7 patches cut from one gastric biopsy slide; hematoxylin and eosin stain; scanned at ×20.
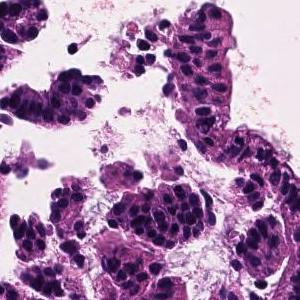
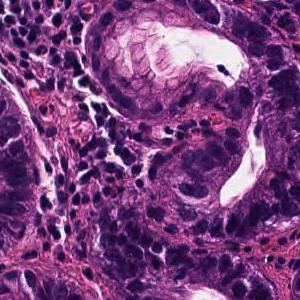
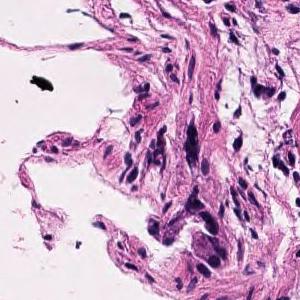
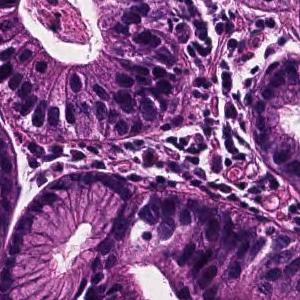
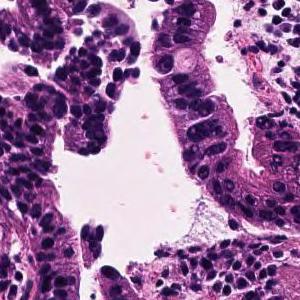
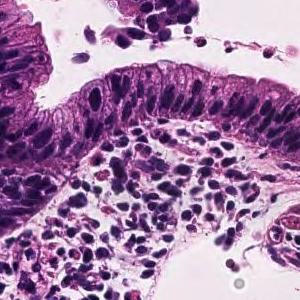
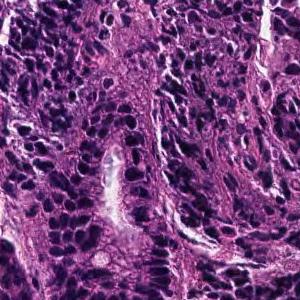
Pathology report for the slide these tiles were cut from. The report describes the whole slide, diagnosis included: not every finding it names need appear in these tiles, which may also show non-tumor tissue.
Tumor cells are large, highly columnar, large club-shaped nuclei, and are associated with chromatin aggregation. Papillary adenocarcinoma.
